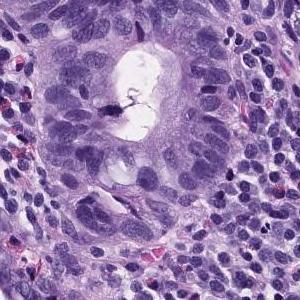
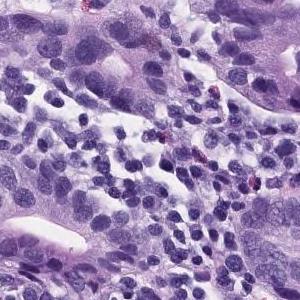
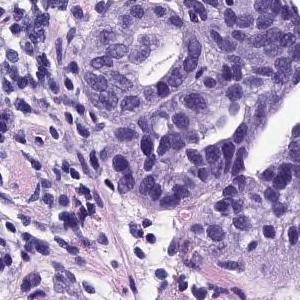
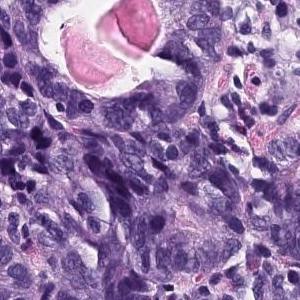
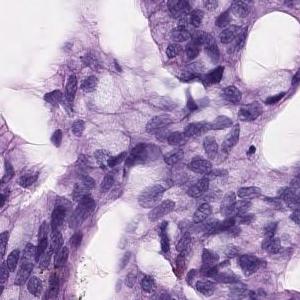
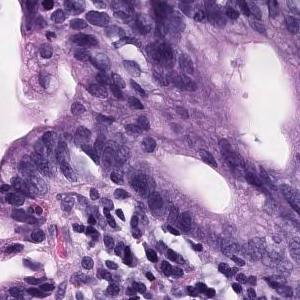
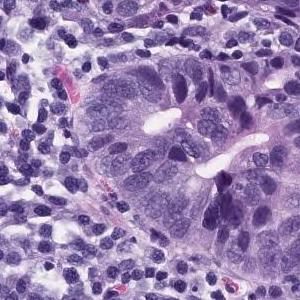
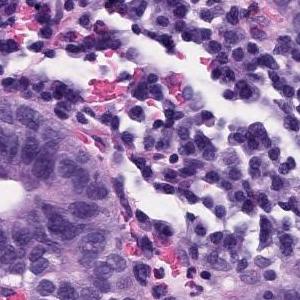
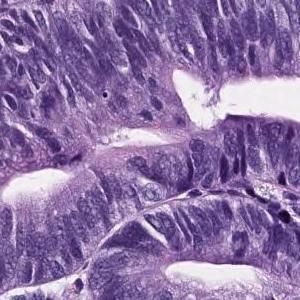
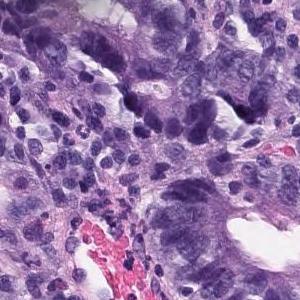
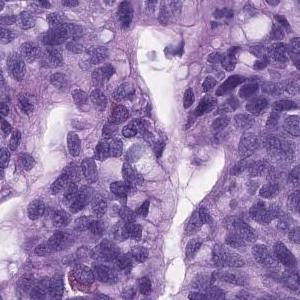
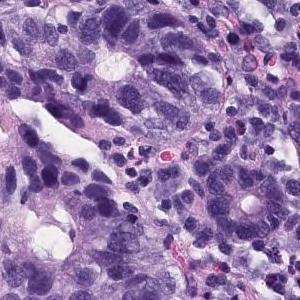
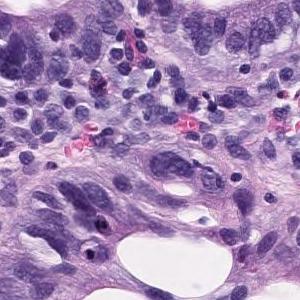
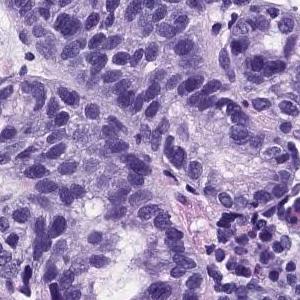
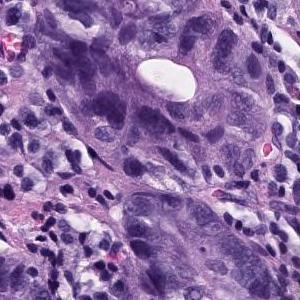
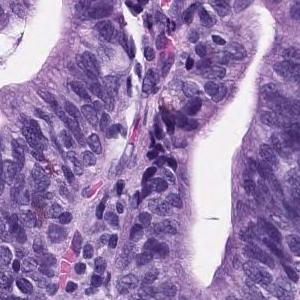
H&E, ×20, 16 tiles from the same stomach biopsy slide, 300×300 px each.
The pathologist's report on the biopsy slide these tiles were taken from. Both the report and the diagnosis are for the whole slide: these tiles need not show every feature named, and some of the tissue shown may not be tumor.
In the superficial epithelium, tumor tissue that invades by forming medium-sized to small, irregular ducts is observed. Moderately differentiated adenocarcinoma.
Subtype: Moderately differentiated tubular adenocarcinoma.
